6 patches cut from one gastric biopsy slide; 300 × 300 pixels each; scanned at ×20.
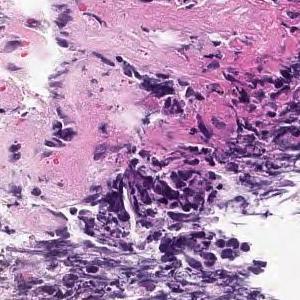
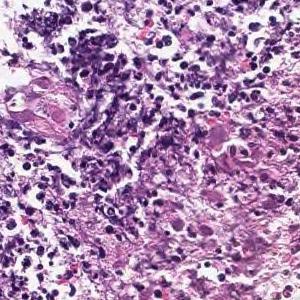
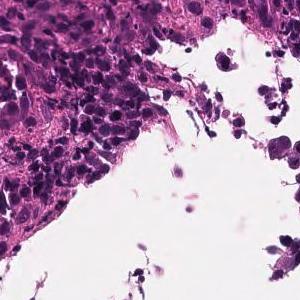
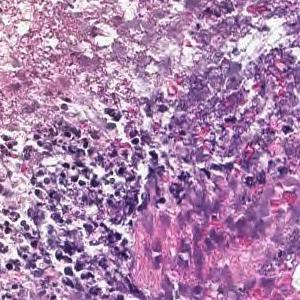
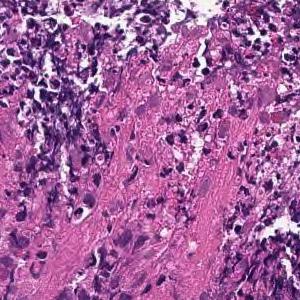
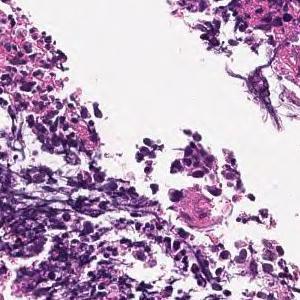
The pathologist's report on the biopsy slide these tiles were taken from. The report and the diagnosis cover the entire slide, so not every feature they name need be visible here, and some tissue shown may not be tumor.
In the superficial epithelium, tumor tissue that invades by forming medium-sized to small, irregular ducts is observed. moderately differentiated tubular adenocarcinoma.
